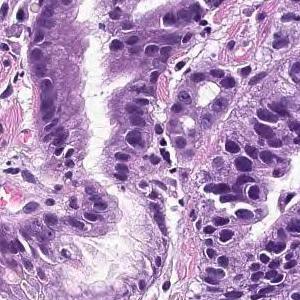
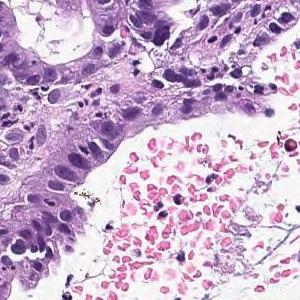
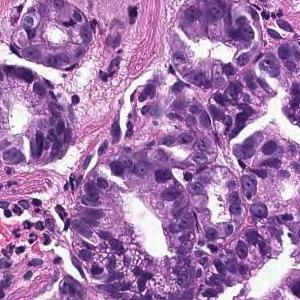
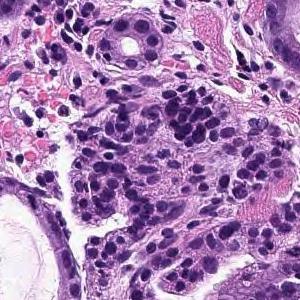
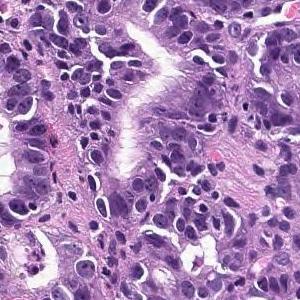
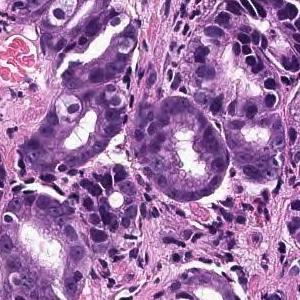
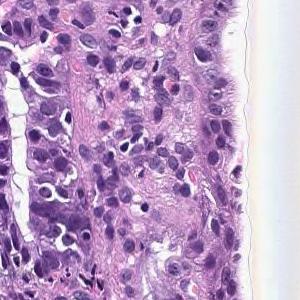
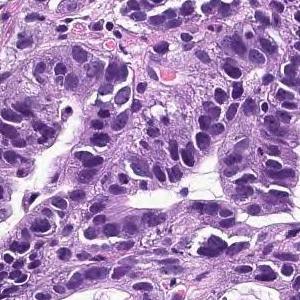
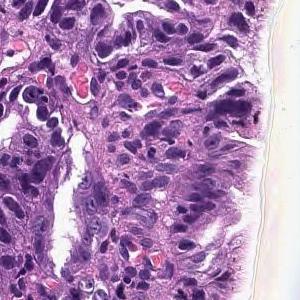
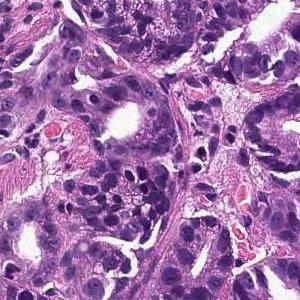
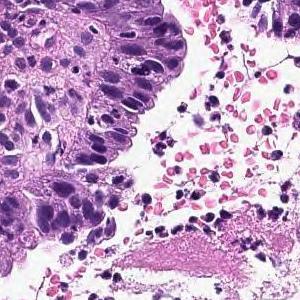
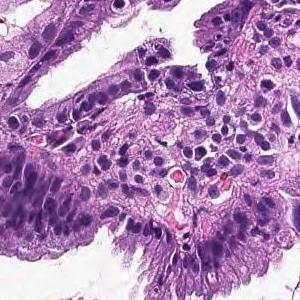
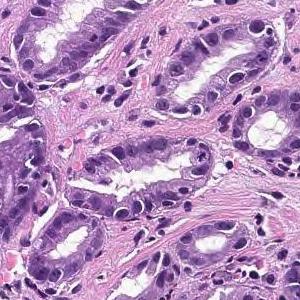
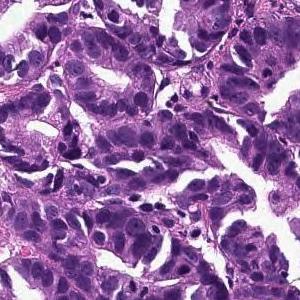
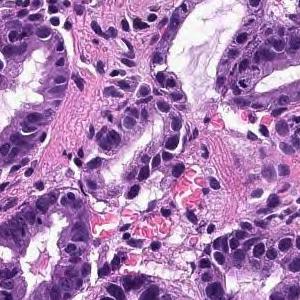
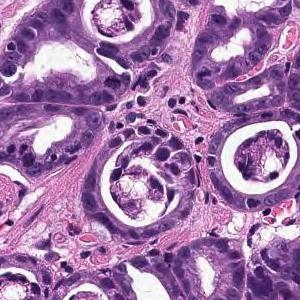
16 patches cut from one gastric biopsy slide; 300 × 300 pixels each; hematoxylin and eosin stain.
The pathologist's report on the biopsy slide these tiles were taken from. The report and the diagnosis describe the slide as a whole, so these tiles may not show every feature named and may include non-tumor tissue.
On the superficial epithelium, tumor tissue that infiltrates by forming medium-sized papillary or small irregular ducts is observed. Papillary adenocarcinoma
